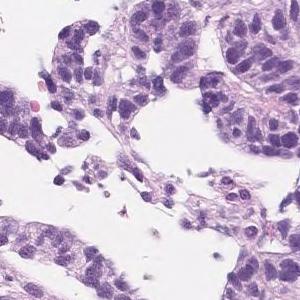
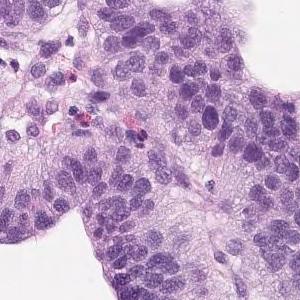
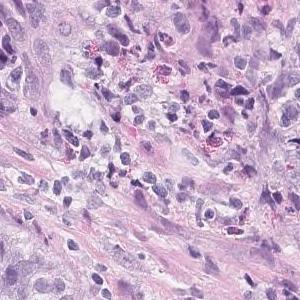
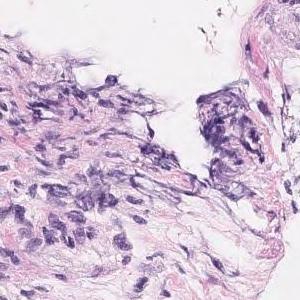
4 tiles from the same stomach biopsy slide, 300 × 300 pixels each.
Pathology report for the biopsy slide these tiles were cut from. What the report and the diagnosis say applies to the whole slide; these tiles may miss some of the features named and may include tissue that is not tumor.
Tumor tissue in which highly columnar atypical epithelial cells with nuclear enlargement and increased nuclear chromatin show papillary to papillary ductal structure and proliferate is observed. Papillary adenocarcinoma.
